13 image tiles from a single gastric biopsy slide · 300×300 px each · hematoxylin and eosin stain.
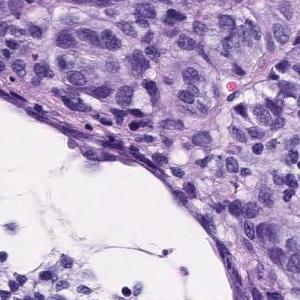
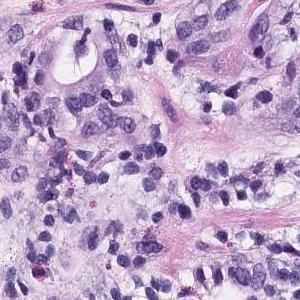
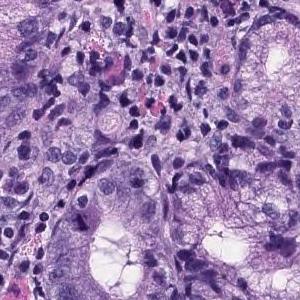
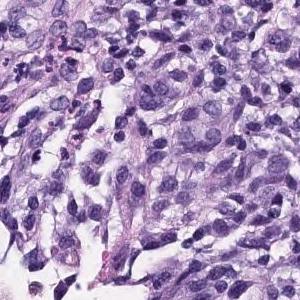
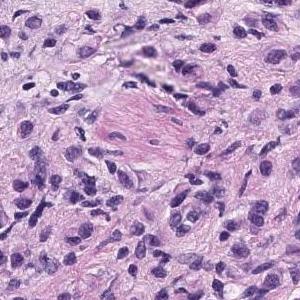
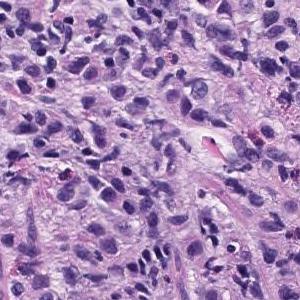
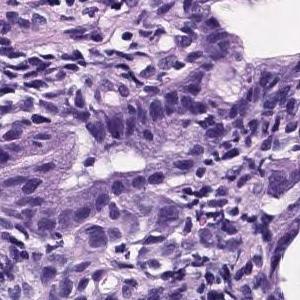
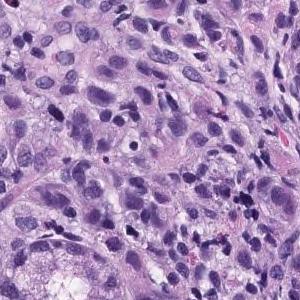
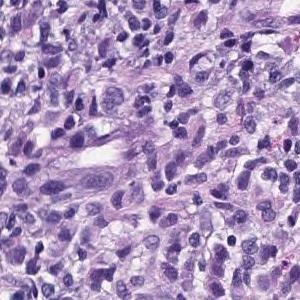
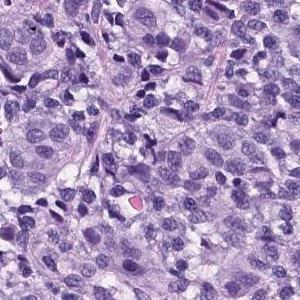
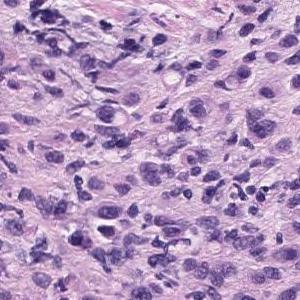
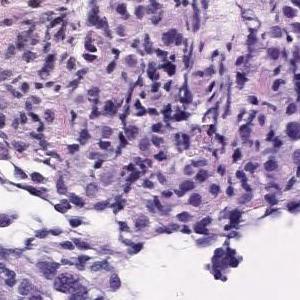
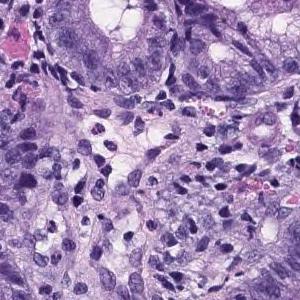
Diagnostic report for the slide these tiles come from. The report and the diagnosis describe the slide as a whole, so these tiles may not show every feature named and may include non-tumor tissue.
There are medium-sized atypical cells with marked nuclear swelling and increased N/C ratio, which grow into solid or isolated scattered cells. Poorly differentiated adenocarcinoma
Histological subtype: Poorly differentiated adenocarcinoma, solid type (Japanese Classification of Gastric Carcinoma). The WHO 2019 equivalent is tubular adenocarcinoma, poorly differentiated.
